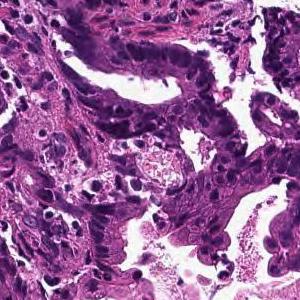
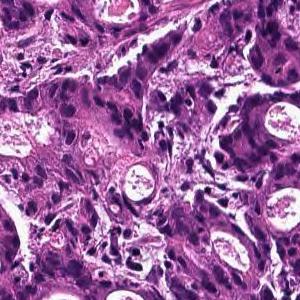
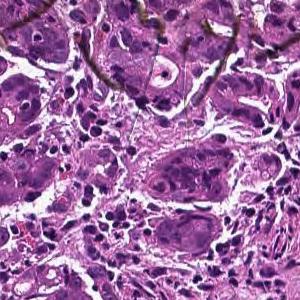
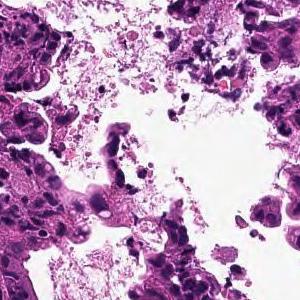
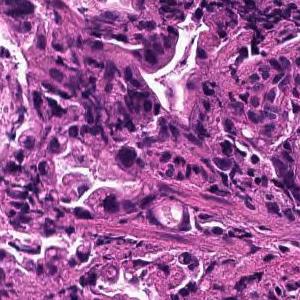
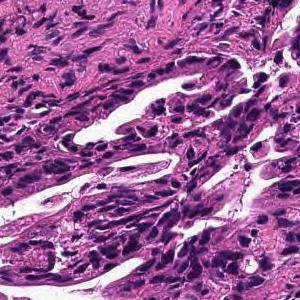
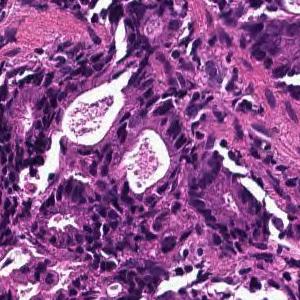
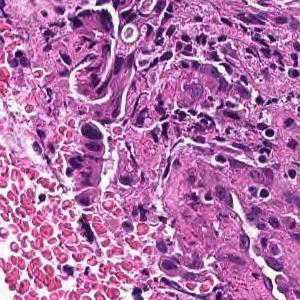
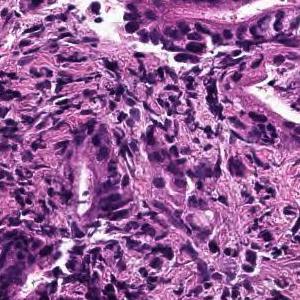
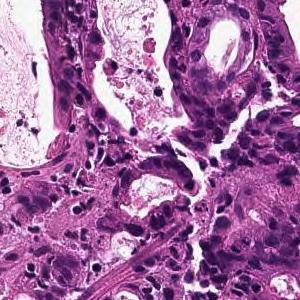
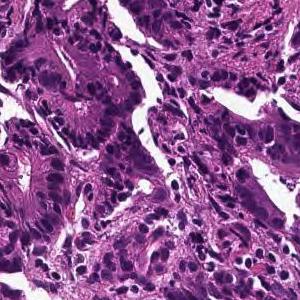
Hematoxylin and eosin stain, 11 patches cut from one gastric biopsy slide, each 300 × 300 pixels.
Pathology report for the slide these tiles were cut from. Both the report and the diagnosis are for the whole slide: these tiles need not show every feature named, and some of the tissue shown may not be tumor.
In the superficial epithelium, tumor tissue that invades by forming medium-sized to small, irregular ducts is observed. moderately differentiated tubular adenocarcinoma.
